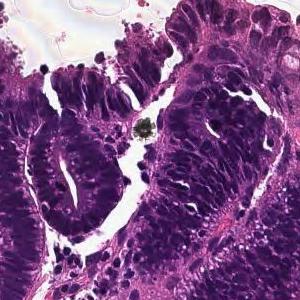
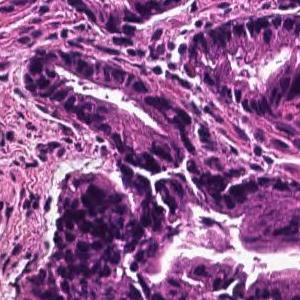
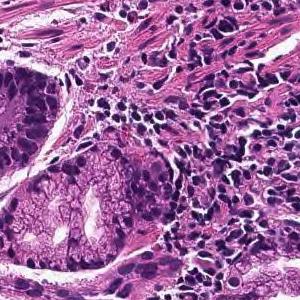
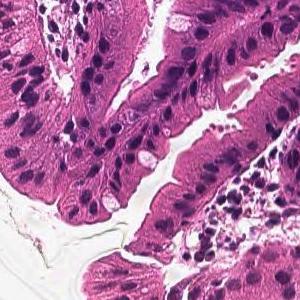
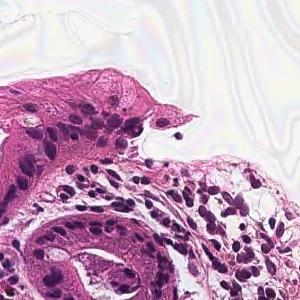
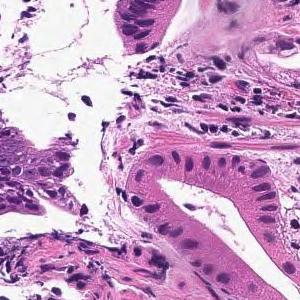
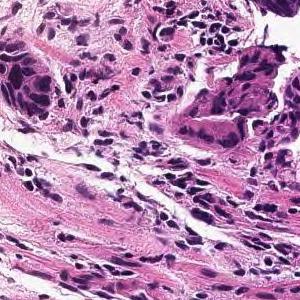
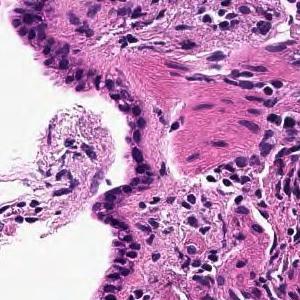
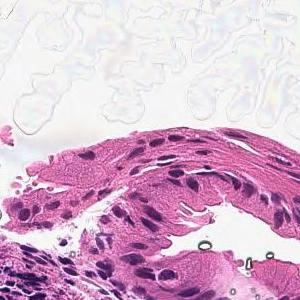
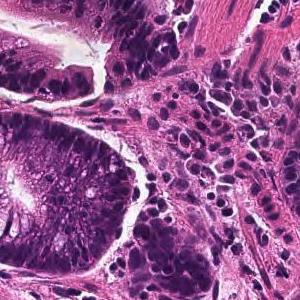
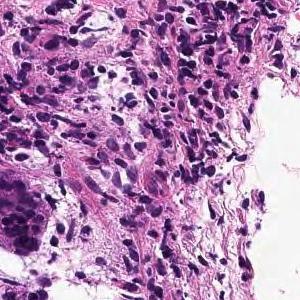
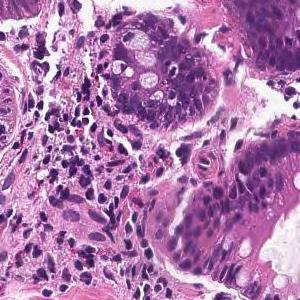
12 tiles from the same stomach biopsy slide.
Pathology report for the biopsy slide these tiles were cut from. What the report and the diagnosis say applies to the whole slide; these tiles may miss some of the features named and may include tissue that is not tumor.
From the superficial epithelium to the muscularis mucosae, tumor tissue consisting of medium-sized and irregular glandular ducts infiltrating is observed. Well differentiated tubular adenocarcinoma
